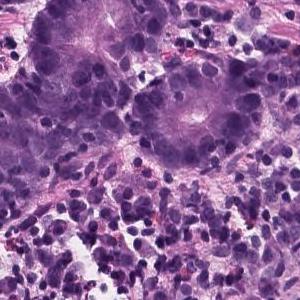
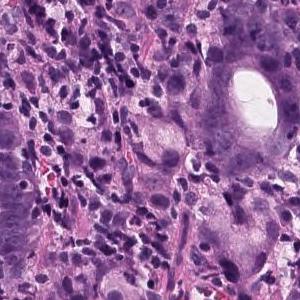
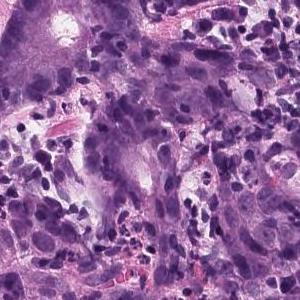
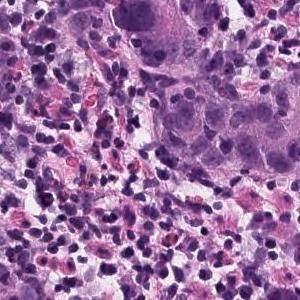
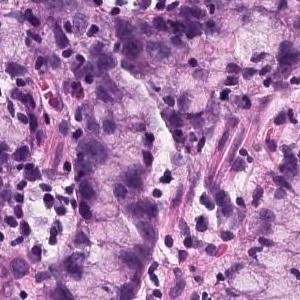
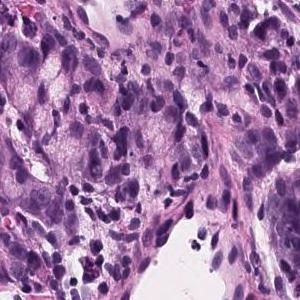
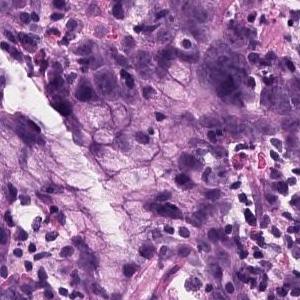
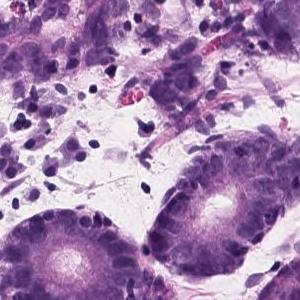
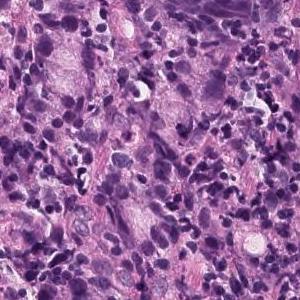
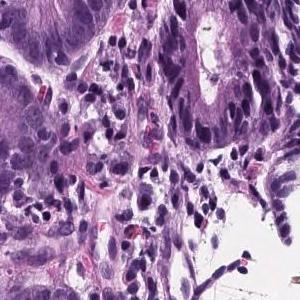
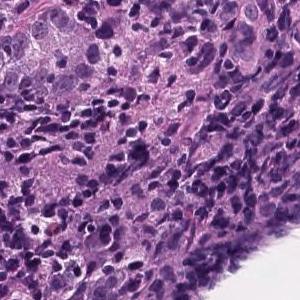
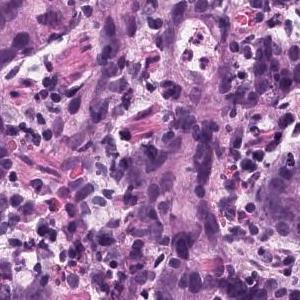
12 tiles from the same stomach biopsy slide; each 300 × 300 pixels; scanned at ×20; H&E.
Pathology report for the biopsy slide these tiles were cut from. The report and the diagnosis cover the entire slide, so not every feature they name need be visible here, and some tissue shown may not be tumor.
In the superficial epithelium, tumor tissue that invades by forming medium-sized to small, irregular ducts is observed. Moderately differentiated adenocarcinoma.
Histologic type: Moderately differentiated tubular adenocarcinoma.
